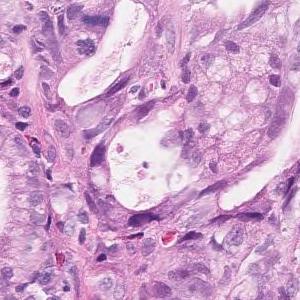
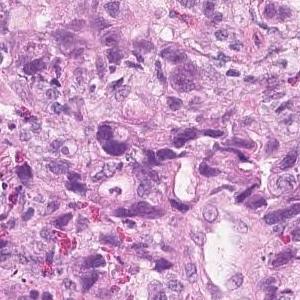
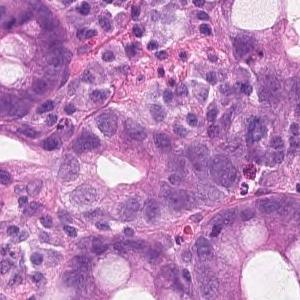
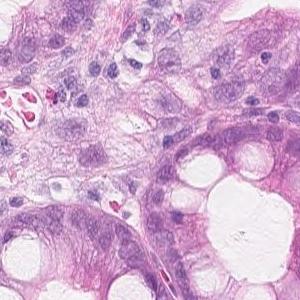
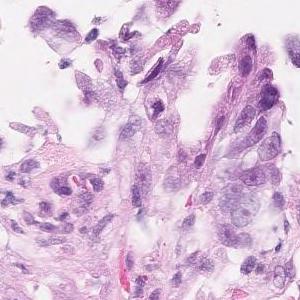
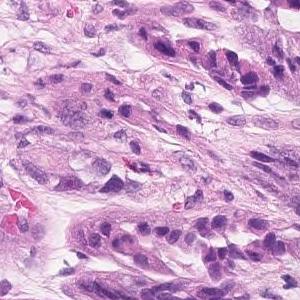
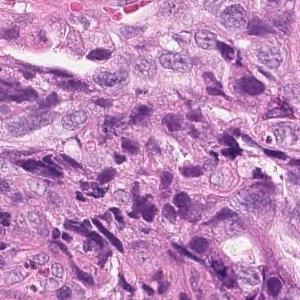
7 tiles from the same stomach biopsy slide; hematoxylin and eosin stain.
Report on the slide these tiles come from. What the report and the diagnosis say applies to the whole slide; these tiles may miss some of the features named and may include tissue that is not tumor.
Tumor tissue showing dense, fused or diffuse, and infiltrative growth of small atypical ducts is observed. moderately differentiated tubular adenocarcinoma
